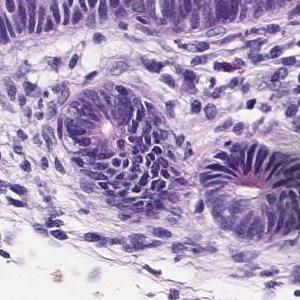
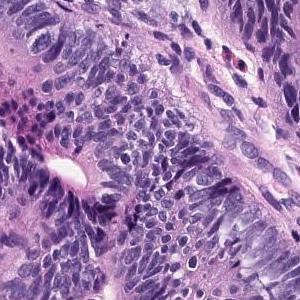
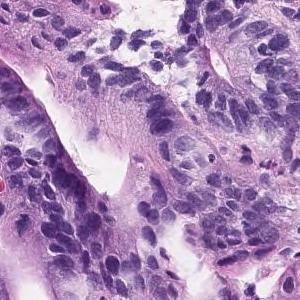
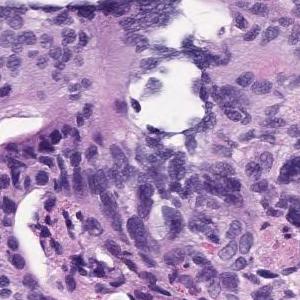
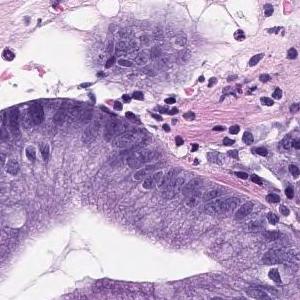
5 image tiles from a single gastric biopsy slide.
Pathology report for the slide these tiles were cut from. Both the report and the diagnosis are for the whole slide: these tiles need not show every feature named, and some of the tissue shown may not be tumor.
On the superficial epithelium, tumor tissue consisting of medium-sized to large-sized, round or irregular glandular duct growth images is observed. Well differentiated adenocarcinoma.
Tumor subtype: well differentiated tubular adenocarcinoma.
